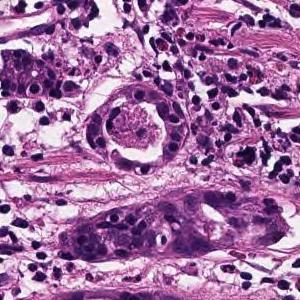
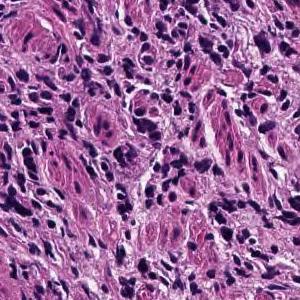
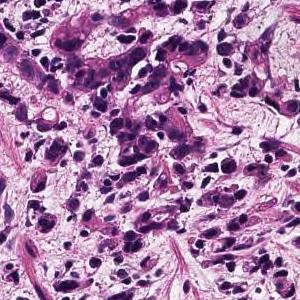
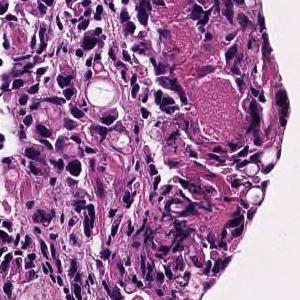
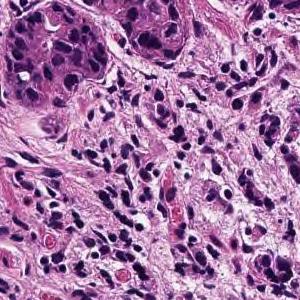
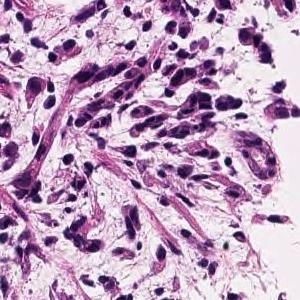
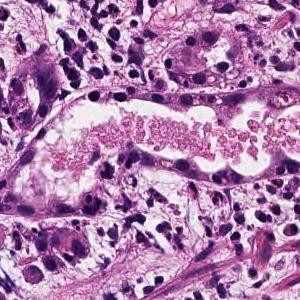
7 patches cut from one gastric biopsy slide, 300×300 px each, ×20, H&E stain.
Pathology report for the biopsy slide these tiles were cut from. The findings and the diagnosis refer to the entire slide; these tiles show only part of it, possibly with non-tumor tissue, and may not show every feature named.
Tumor tissue consisting of cord-like or small, irregular glandular ducts fused and infiltrated is observed in the superficial epithelium. Poorly differentiated adenocarcinoma, non-solid type
The non-solid type named here is a Japanese Classification of Gastric Carcinoma category.
